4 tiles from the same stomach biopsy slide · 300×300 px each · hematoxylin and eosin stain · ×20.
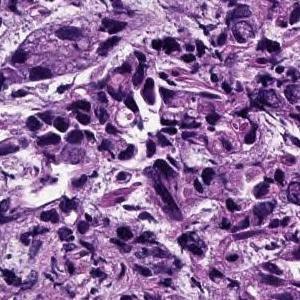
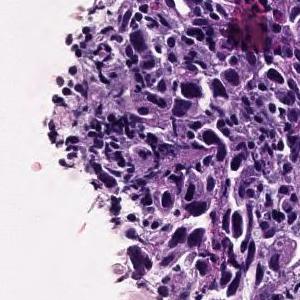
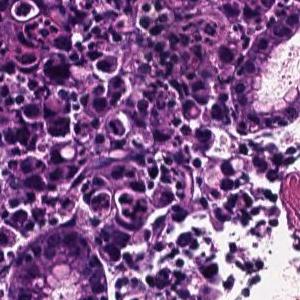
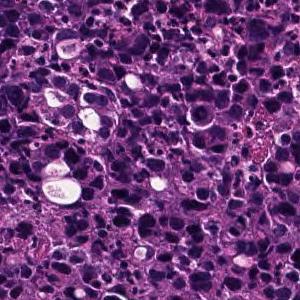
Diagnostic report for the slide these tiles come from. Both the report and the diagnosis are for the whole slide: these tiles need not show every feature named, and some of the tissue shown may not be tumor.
The superficial epithelium shows a large sheet-like shape, and some tumor tissue infiltrates with small irregular ducts. Poorly differentiated adenocarcinoma, solid-type
Histologic type: Poorly differentiated adenocarcinoma, solid type, a category of the Japanese Classification of Gastric Carcinoma; in the WHO 2019 classification it is tubular adenocarcinoma, poorly differentiated.
